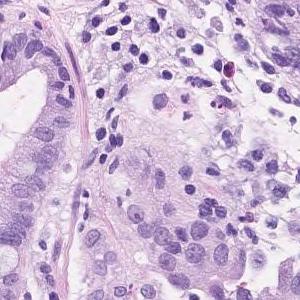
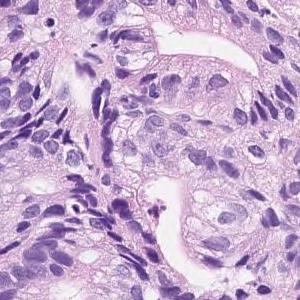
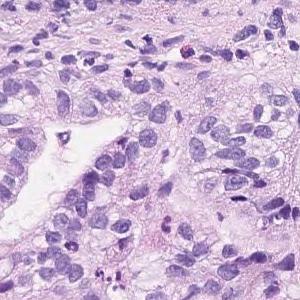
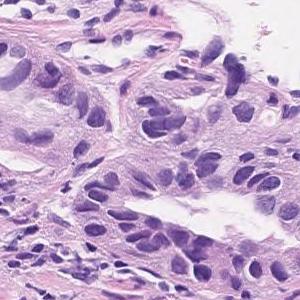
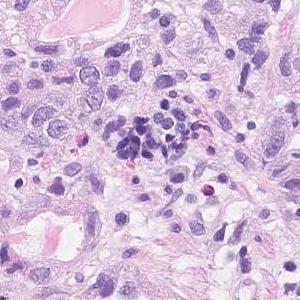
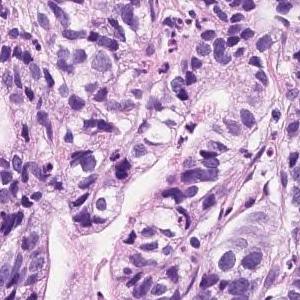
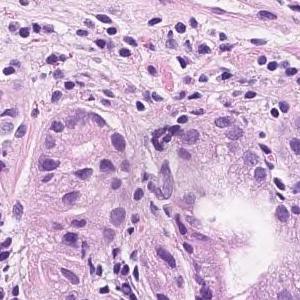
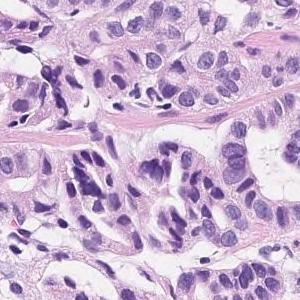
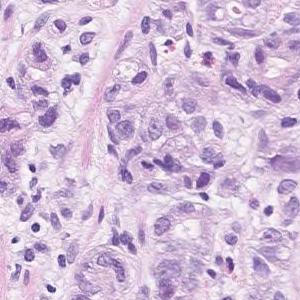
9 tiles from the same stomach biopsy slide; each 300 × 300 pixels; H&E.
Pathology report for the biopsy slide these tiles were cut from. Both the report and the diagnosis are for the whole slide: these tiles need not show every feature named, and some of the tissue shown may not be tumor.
In the superficial epithelium, tumor tissue that invades by forming medium-sized to small, irregular ducts is observed. Moderately to poorly differentiated adenocarcinoma
